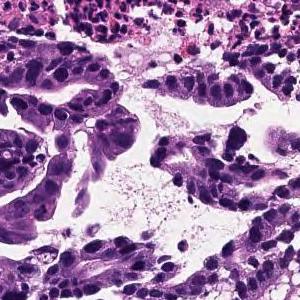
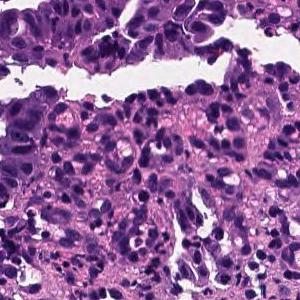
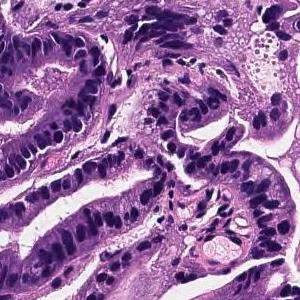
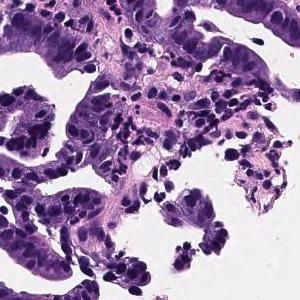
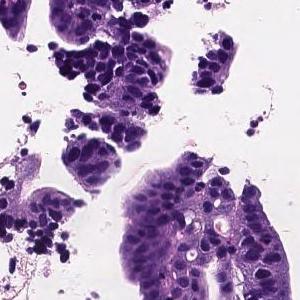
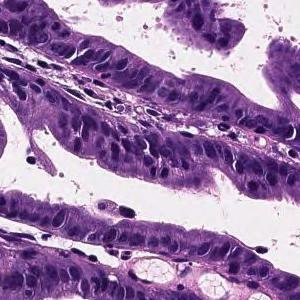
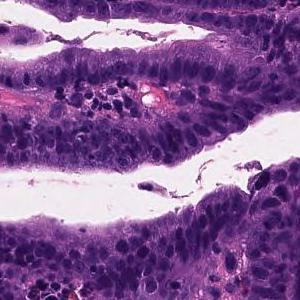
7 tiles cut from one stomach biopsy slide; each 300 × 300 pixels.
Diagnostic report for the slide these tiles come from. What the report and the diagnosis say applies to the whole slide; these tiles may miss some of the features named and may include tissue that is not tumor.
Tumor cells are large, highly columnar, large club-shaped nuclei, and are associated with chromatin aggregation. Papillary adenocarcinoma.
